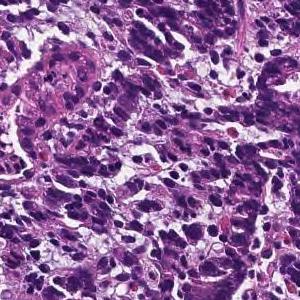
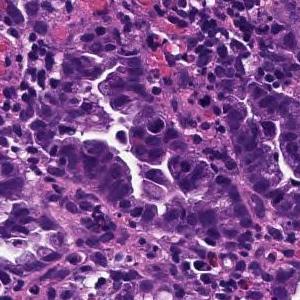
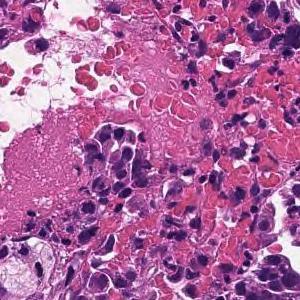
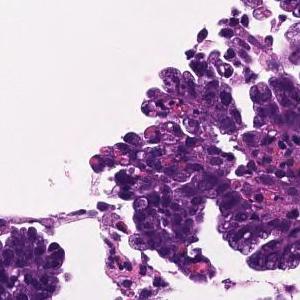
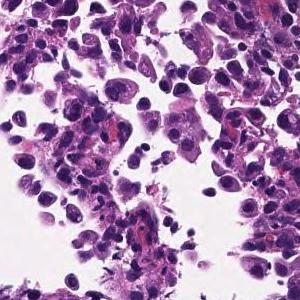
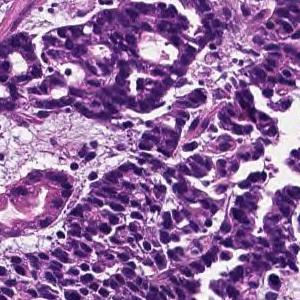
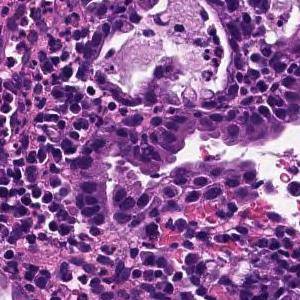
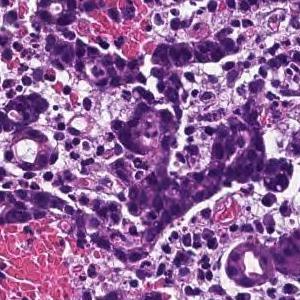
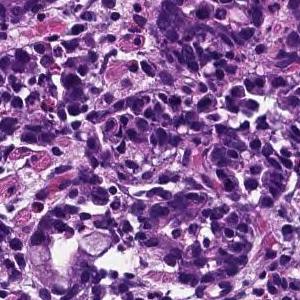
Scanned at ×20, H&E stain, 9 image tiles from a single gastric biopsy slide, each 300 × 300 pixels.
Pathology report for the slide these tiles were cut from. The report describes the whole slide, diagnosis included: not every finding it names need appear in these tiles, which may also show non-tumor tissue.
In the superficial epithelium, tumor tissue that invades by forming medium-sized to small, irregular ducts is observed. moderately differentiated tubular adenocarcinoma.
